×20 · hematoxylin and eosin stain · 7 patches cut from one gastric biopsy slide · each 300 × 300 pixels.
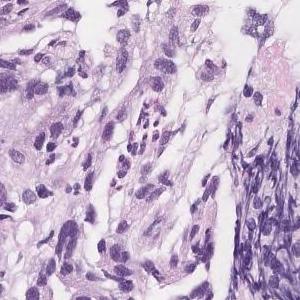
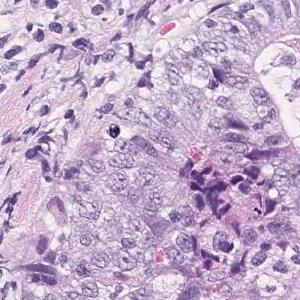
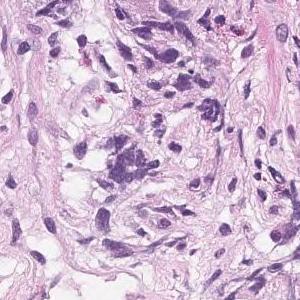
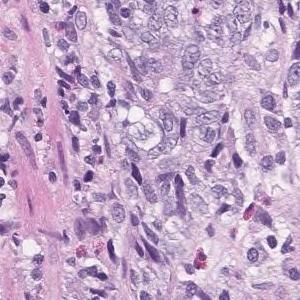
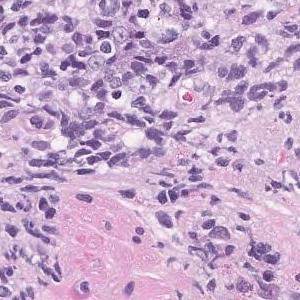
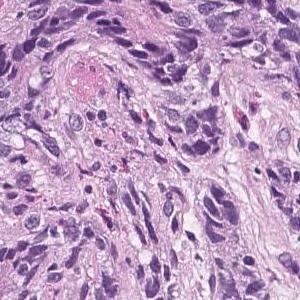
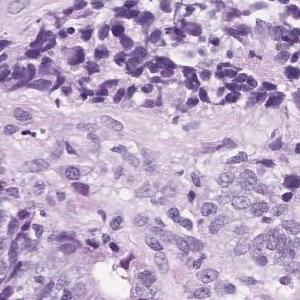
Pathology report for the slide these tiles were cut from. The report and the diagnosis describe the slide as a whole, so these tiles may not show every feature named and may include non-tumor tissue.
Highly columnar epithelium with disordered nuclear localization proliferates showing fusion ductal construction. moderately differentiated tubular adenocarcinoma
